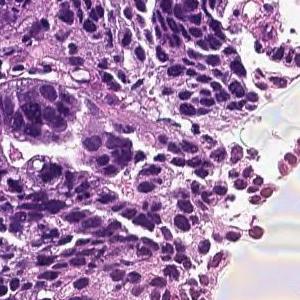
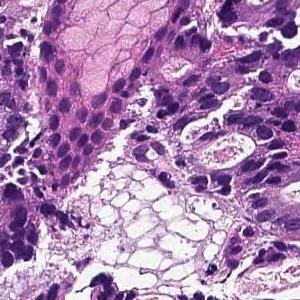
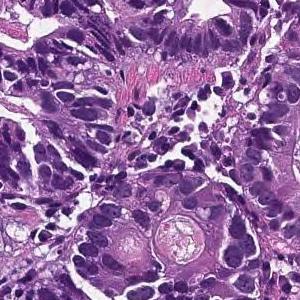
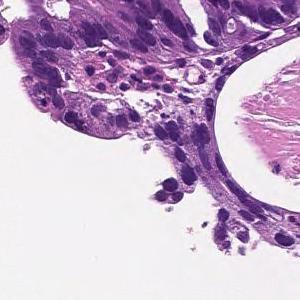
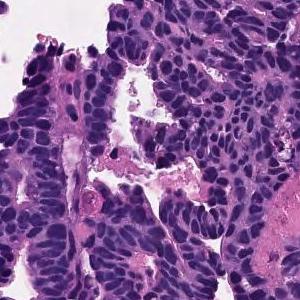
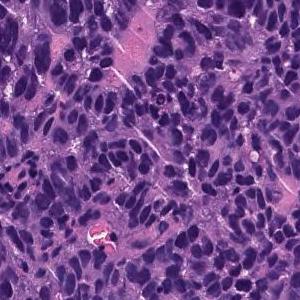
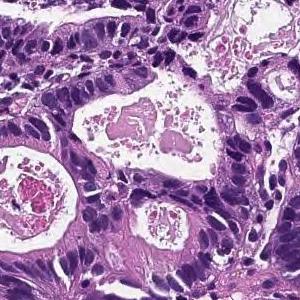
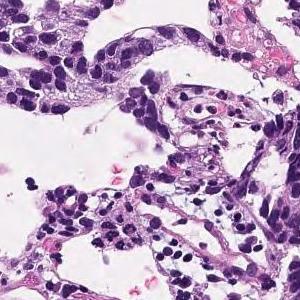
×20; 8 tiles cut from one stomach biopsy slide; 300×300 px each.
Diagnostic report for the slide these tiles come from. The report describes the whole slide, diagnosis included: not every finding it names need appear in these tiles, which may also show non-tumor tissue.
In the superficial epithelium, tumor tissue that invades by forming medium-sized to small, irregular ducts is observed. moderately differentiated tubular adenocarcinoma.
